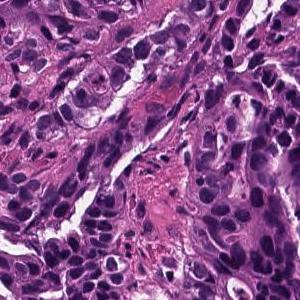
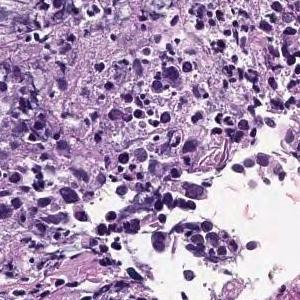
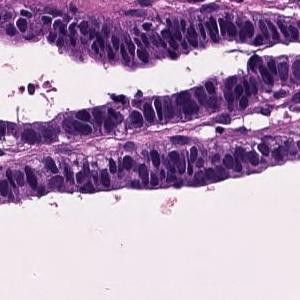
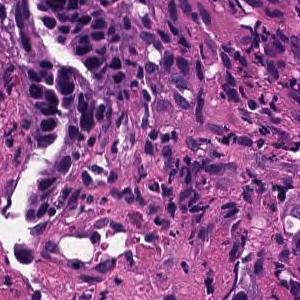
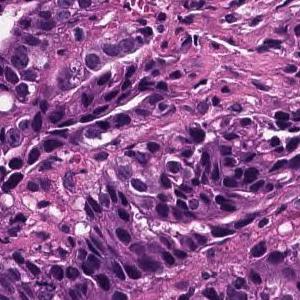
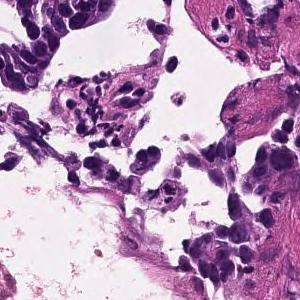
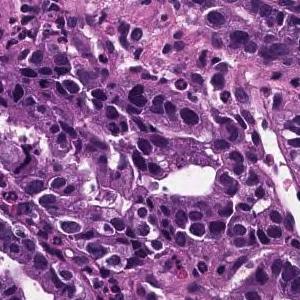
7 patches cut from one gastric biopsy slide, 300×300 px each, 20× magnification, H&E.
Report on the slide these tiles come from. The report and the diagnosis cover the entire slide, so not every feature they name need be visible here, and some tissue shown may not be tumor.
Tumor cells are large, highly columnar, large club-shaped nuclei, and are associated with chromatin aggregation. Papillary adenocarcinoma.
